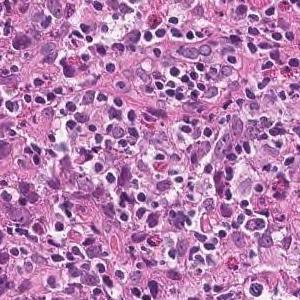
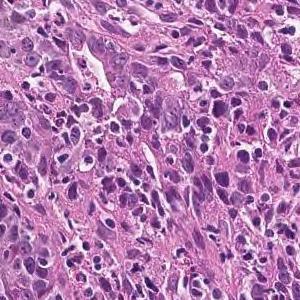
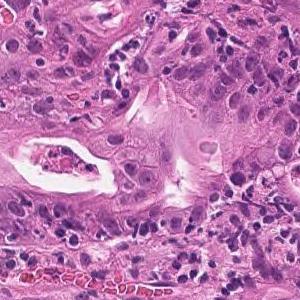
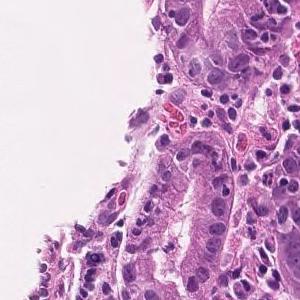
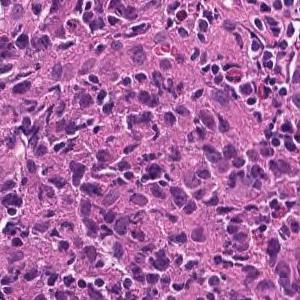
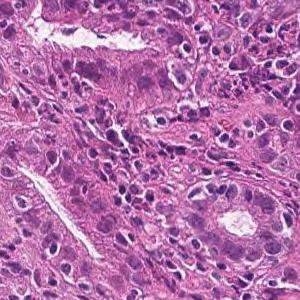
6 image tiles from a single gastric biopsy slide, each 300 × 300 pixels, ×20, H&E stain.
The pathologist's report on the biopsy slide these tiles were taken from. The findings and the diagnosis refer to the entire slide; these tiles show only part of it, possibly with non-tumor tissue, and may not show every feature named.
Tumor tissue consisting of medium-sized, cord-like or irregular glandular infiltration is observed in the superficial epithelium. Poorly differentiated adenocarcinoma, non-solid type or moderately differentiated tubular adenocarcinoma
The dataset labels this slide poorly differentiated adenocarcinoma, non-solid type.
The term "non-solid type" comes from the Japanese Classification of Gastric Carcinoma.
